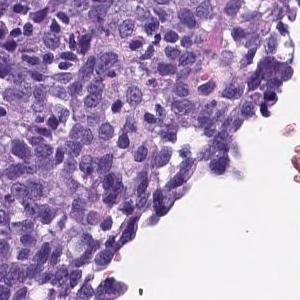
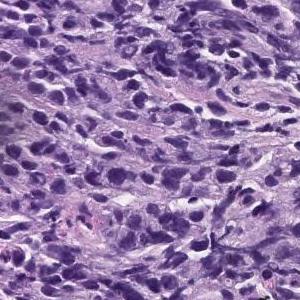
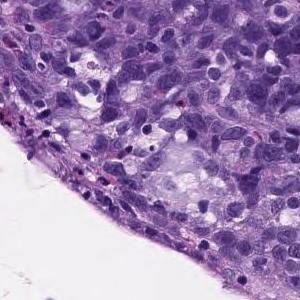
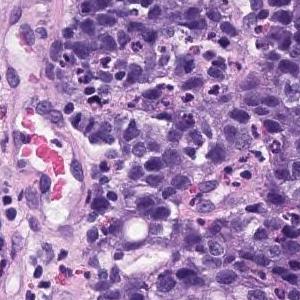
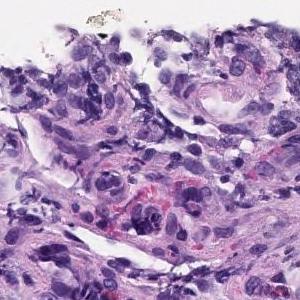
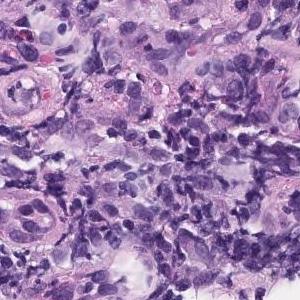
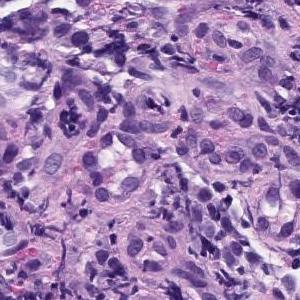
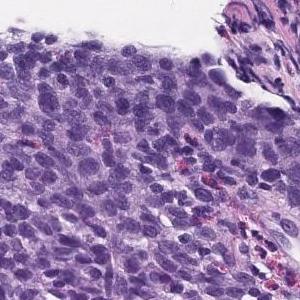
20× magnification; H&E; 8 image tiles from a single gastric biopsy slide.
The pathologist's report on the biopsy slide these tiles were taken from. The report and the diagnosis cover the entire slide, so not every feature they name need be visible here, and some tissue shown may not be tumor.
The superficial epithelium shows a large sheet-like shape, and some tumor tissue infiltrates with small irregular ducts. Poorly differentiated adenocarcinoma, solid-type
Subtype: Poorly differentiated adenocarcinoma, solid type. This name comes from the Japanese Classification of Gastric Carcinoma; the WHO 2019 classification calls it tubular adenocarcinoma, poorly differentiated.
